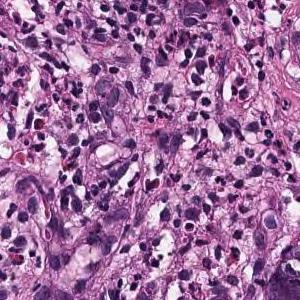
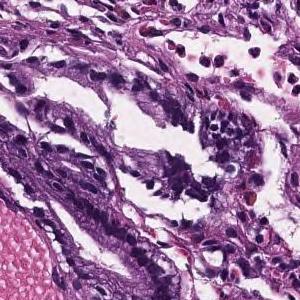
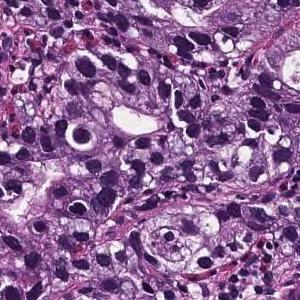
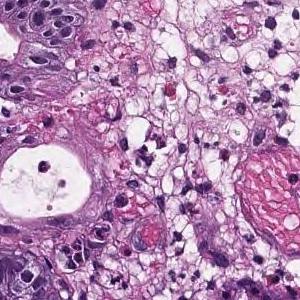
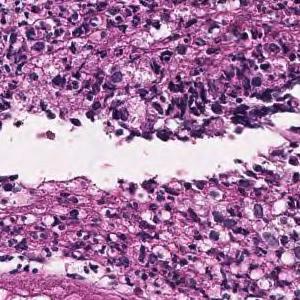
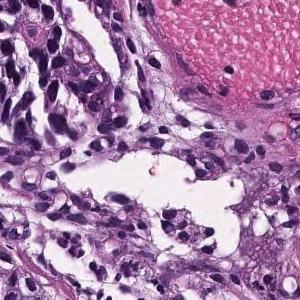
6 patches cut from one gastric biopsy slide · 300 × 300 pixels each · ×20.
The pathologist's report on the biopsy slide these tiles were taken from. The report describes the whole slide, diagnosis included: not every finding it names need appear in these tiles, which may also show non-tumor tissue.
In the superficial epithelium, medium to small irregular gland ducts are formed, and in some cases, the ducts are fused to show solid alveolar lesions and infiltrating tumor tissue is observed. Moderately to poorly differentiated adenocarcinoma
